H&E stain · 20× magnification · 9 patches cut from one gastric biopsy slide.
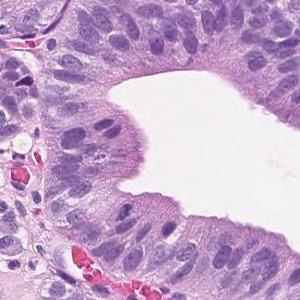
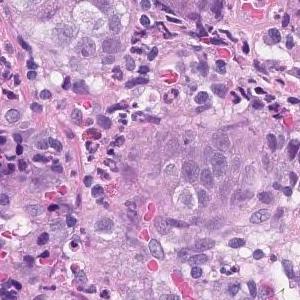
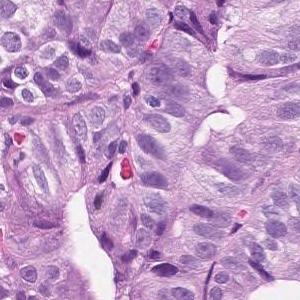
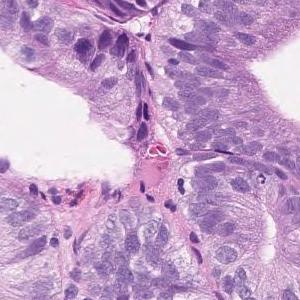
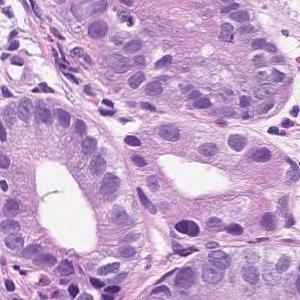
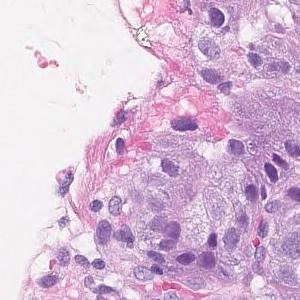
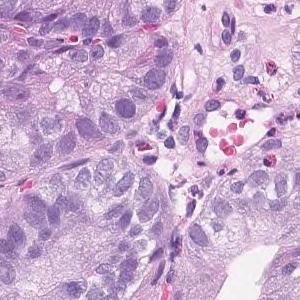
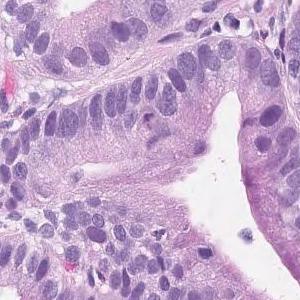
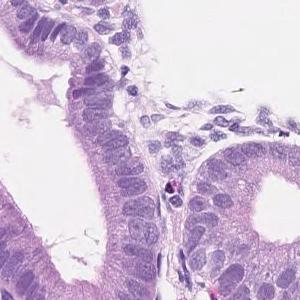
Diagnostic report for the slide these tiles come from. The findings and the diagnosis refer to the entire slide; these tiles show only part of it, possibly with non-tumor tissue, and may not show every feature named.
Tumor tissue consisting of medium-sized and irregular ducts is observed infiltrating in the superficial epithelium. Tumor cells are highly columnar, with nuclei aligned basolaterally and polarized. Well differentiated tubular adenocarcinoma.
